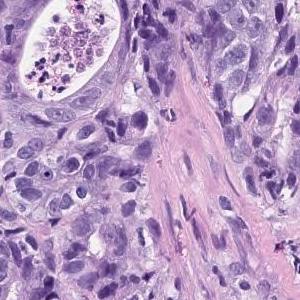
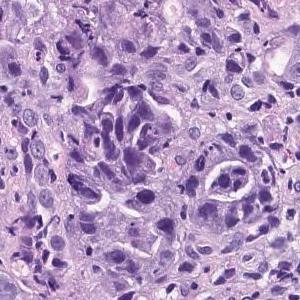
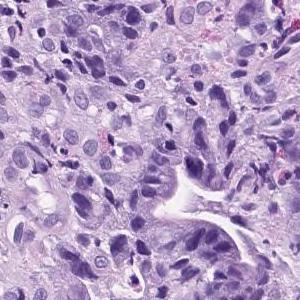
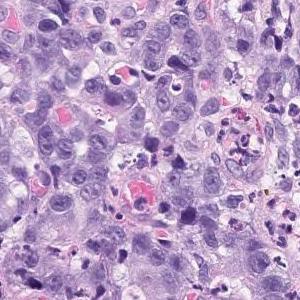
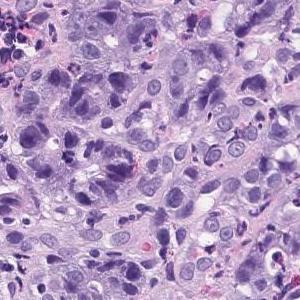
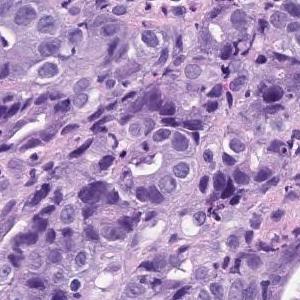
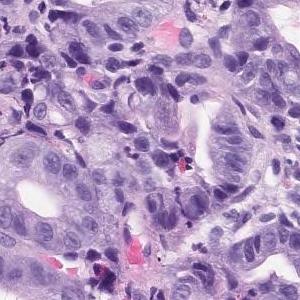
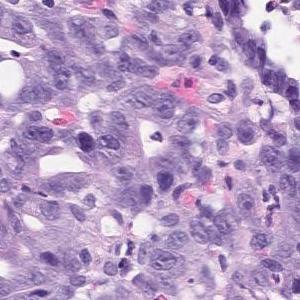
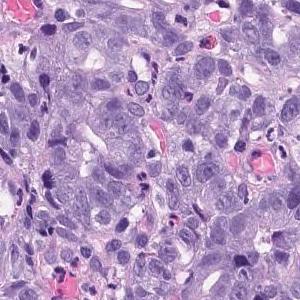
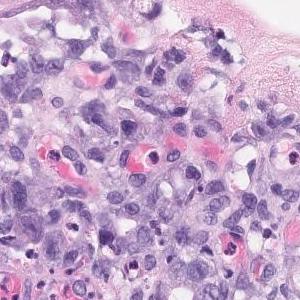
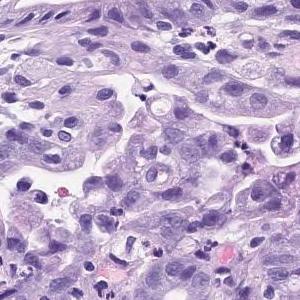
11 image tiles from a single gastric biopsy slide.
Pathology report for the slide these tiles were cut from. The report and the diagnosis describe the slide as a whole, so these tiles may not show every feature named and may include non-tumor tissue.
In the superficial epithelium, tumor tissue that invades by forming medium-sized to small, irregular ducts is observed. Moderately differentiated adenocarcinoma.
Subtype: Moderately differentiated tubular adenocarcinoma.
